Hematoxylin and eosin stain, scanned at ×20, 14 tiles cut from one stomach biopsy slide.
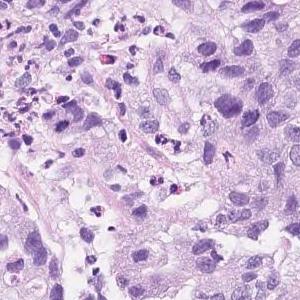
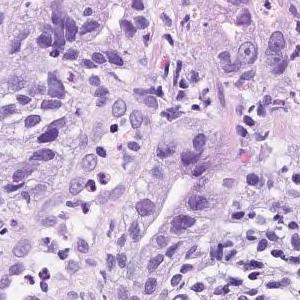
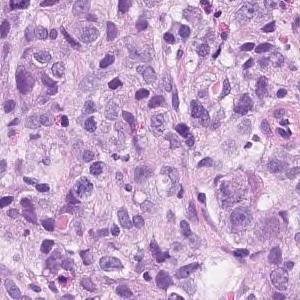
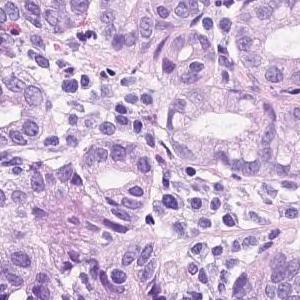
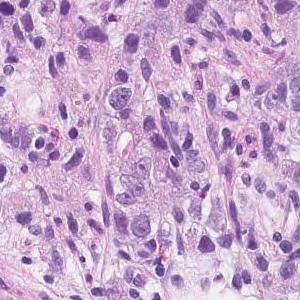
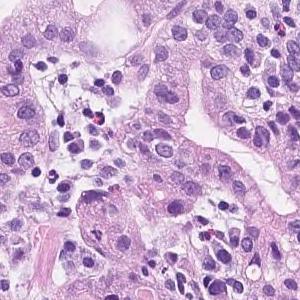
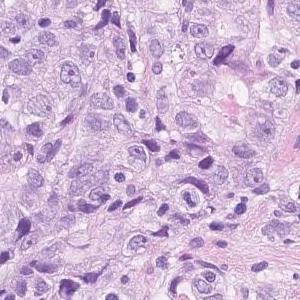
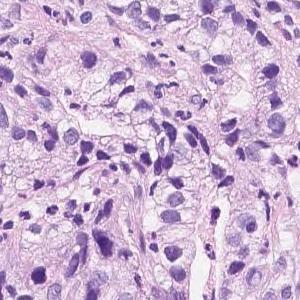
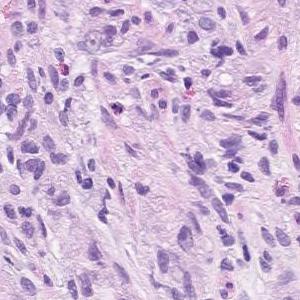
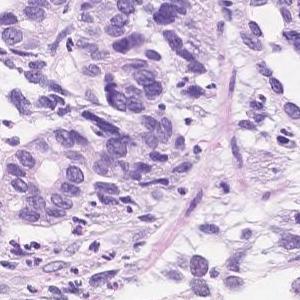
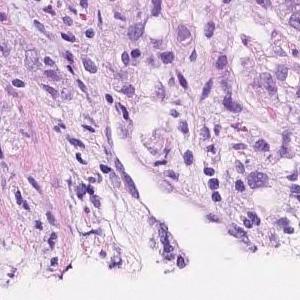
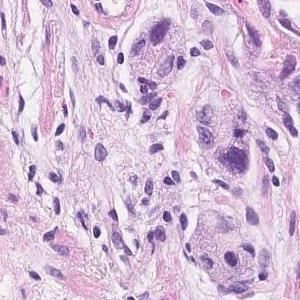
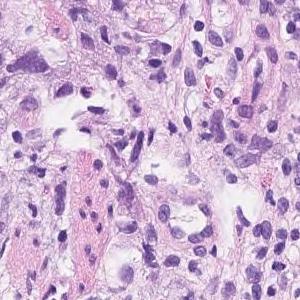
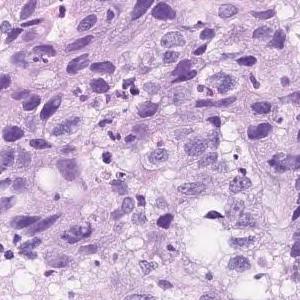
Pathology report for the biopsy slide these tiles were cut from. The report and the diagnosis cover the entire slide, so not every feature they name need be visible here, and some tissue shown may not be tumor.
In the superficial epithelium, tumor tissue that invades by forming medium-sized to small, irregular ducts is observed. Moderately to poorly differentiated adenocarcinoma
